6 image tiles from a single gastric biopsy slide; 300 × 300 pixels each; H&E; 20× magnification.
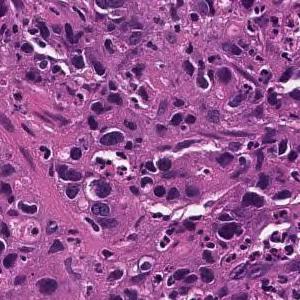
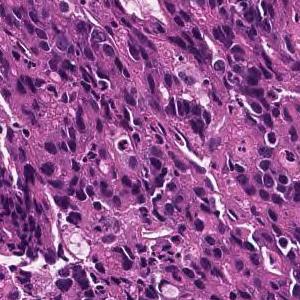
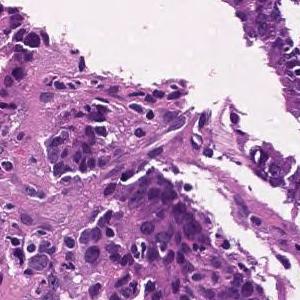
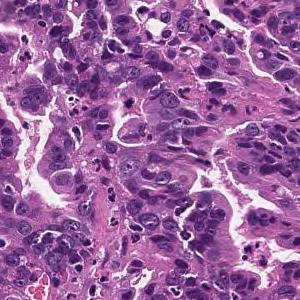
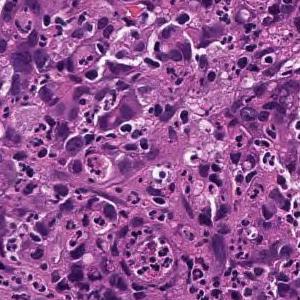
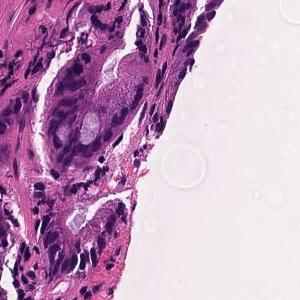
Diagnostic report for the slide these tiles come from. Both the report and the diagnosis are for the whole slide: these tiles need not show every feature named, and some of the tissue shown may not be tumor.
In the superficial epithelium, tumor tissue that invades by forming medium-sized to small, irregular ducts is observed. moderately differentiated tubular adenocarcinoma.
